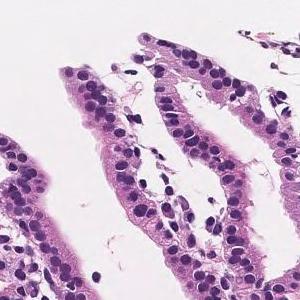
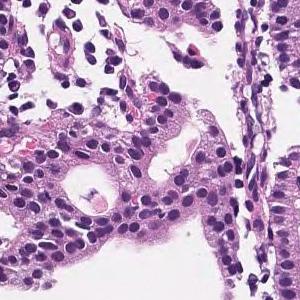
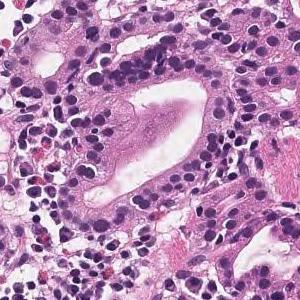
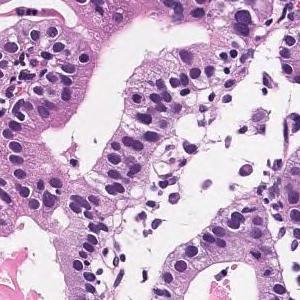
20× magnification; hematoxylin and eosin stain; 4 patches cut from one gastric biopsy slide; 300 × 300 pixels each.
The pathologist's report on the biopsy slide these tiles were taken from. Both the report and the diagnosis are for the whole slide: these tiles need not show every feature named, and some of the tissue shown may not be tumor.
Medium to small, irregular glandular ducts are formed in the superficial epithelium, and in some cases, the glandular ducts are fused to show solid alveolar lesions and infiltrating tumor tissue is observed. Moderately to poorly differentiated adenocarcinoma.
